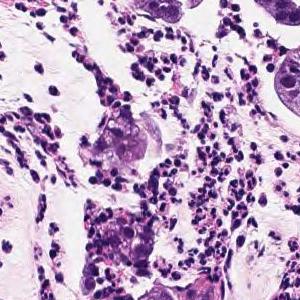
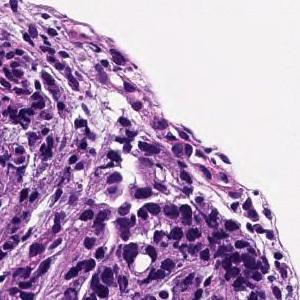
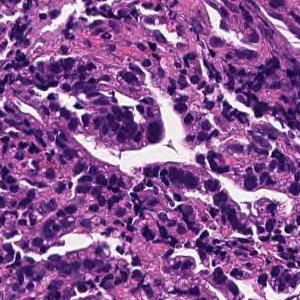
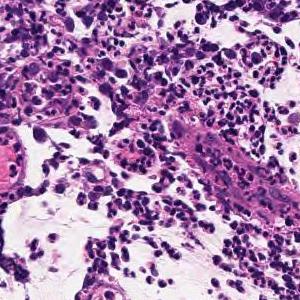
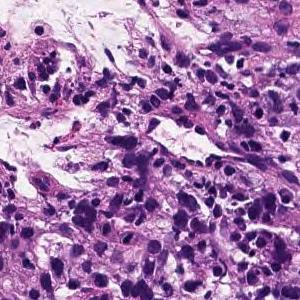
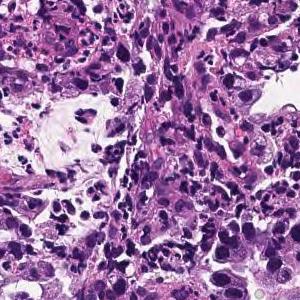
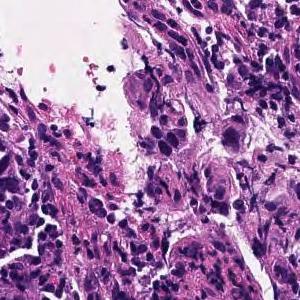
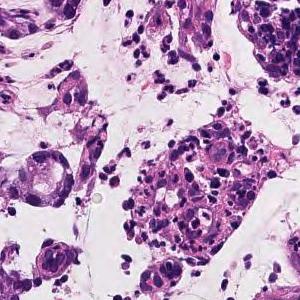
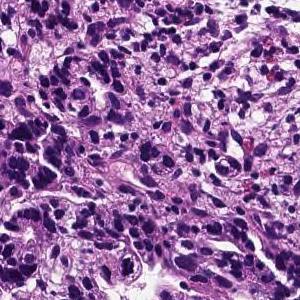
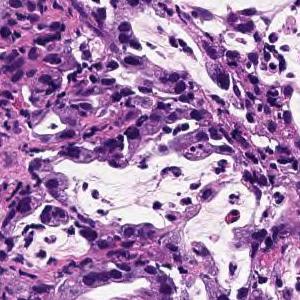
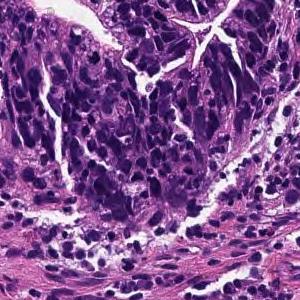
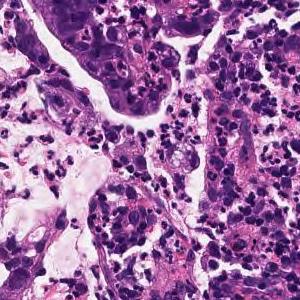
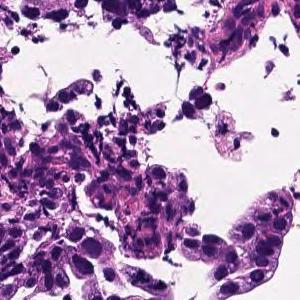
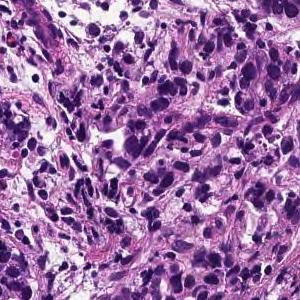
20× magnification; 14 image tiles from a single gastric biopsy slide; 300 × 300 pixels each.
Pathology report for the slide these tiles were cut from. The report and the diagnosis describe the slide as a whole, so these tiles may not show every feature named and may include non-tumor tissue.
On the superficial epithelium, tumor tissue consisting of large, irregular glandular ducts partially fused and infiltrated is observed. Well to moderately differentiated tubular adenocarcinoma (well differentiated tubular adenocarcinoma, moderately differentiated tubular adenocarcinoma)
Tumor subtype: well to moderately differentiated tubular adenocarcinoma.
